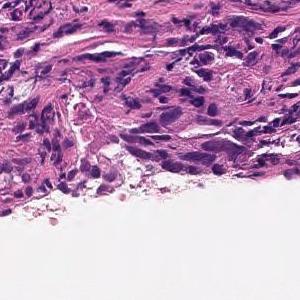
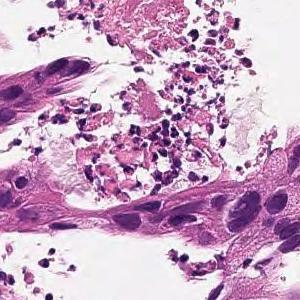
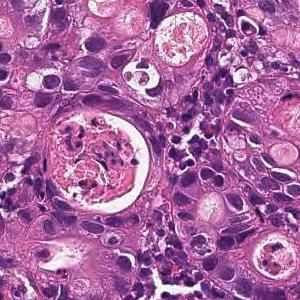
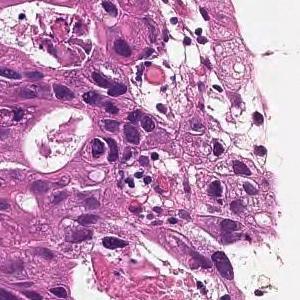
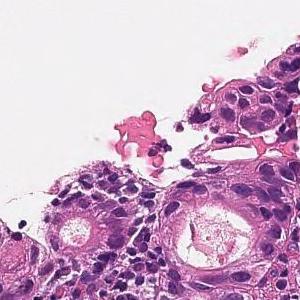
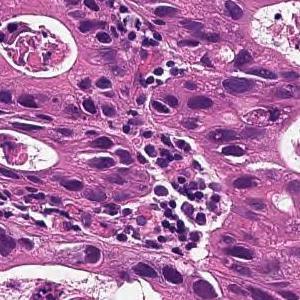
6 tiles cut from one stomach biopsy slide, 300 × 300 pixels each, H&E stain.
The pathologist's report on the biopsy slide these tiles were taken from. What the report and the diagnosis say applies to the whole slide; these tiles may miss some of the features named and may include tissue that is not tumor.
From the superficial epithelium to the muscularis mucosae, tumor tissue consisting of medium-sized and irregular glandular ducts infiltrating is observed. Well differentiated tubular adenocarcinoma
